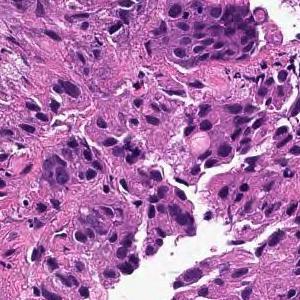
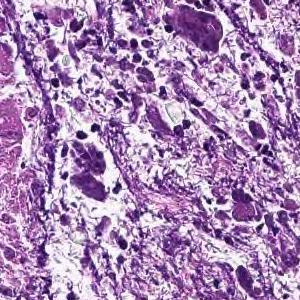
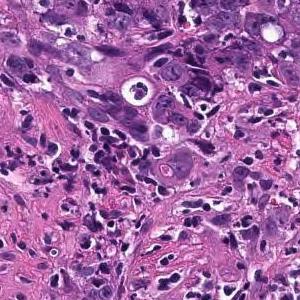
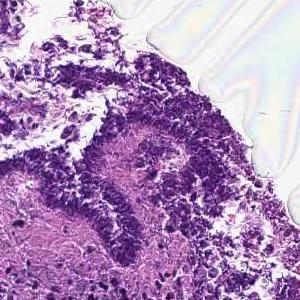
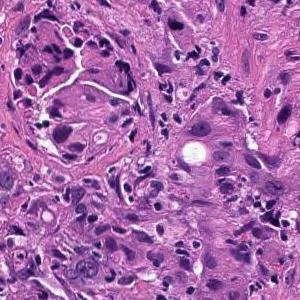
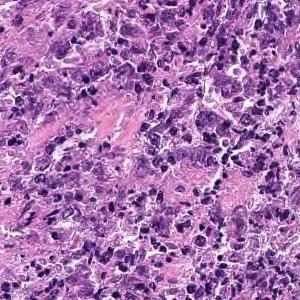
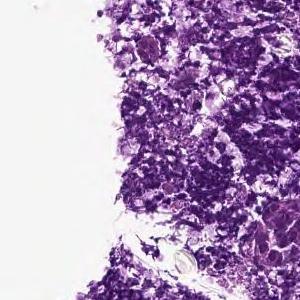
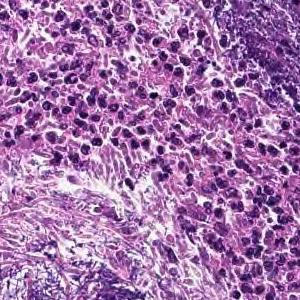
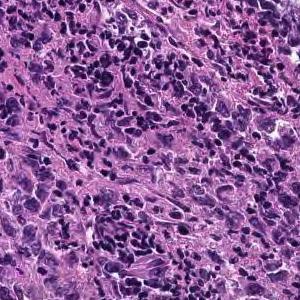
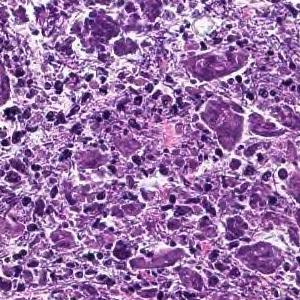
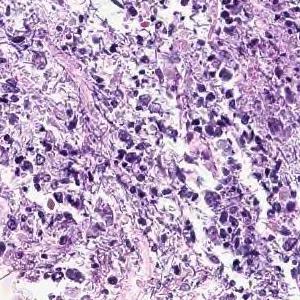
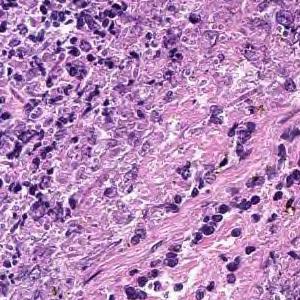
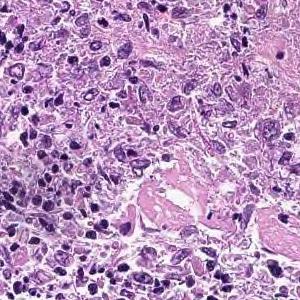
H&E stain, 20× magnification, 13 tiles from the same stomach biopsy slide.
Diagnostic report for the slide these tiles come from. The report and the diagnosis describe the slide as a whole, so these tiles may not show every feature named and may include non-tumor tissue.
Cancers with polygonal nuclei do not show glandular formation and are densely, in part, cord-like and proliferate. Poorly differentiated adenocarcinoma
Subtype: Poorly differentiated adenocarcinoma, non-solid type.
"Non-solid type" is a category of the Japanese Classification of Gastric Carcinoma.
